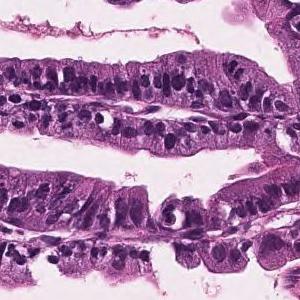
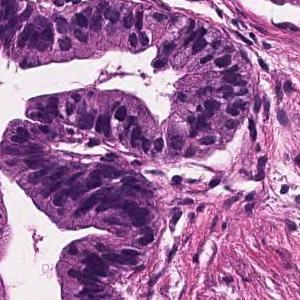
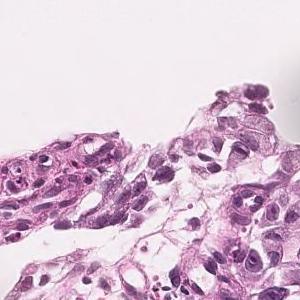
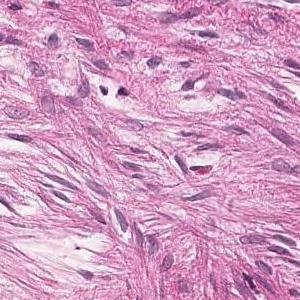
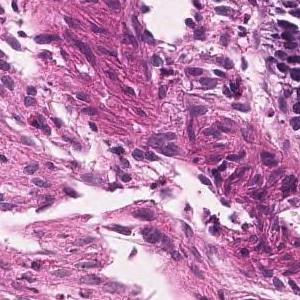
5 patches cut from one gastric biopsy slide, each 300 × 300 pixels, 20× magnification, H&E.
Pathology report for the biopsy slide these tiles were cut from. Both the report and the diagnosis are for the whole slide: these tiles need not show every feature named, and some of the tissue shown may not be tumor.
Tumor cells are large, highly columnar, large club-shaped nuclei, and are associated with chromatin aggregation. Papillary adenocarcinoma.
